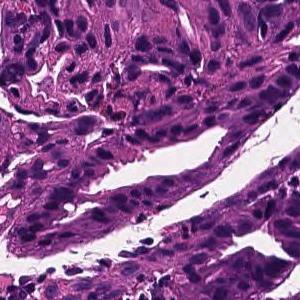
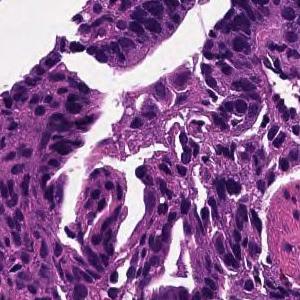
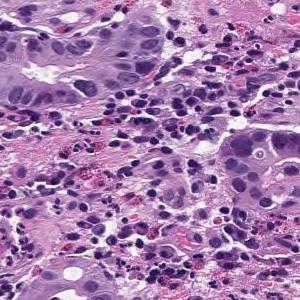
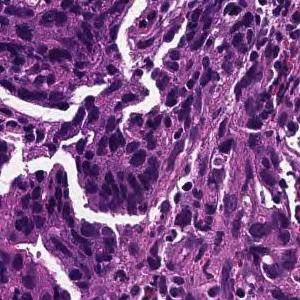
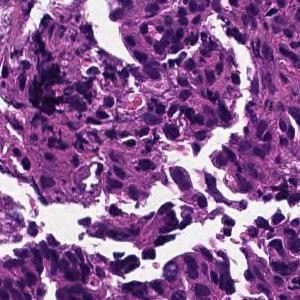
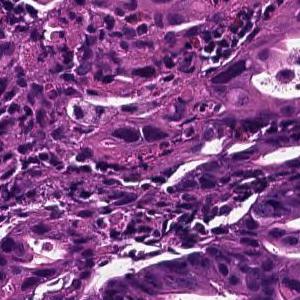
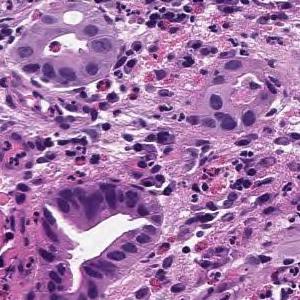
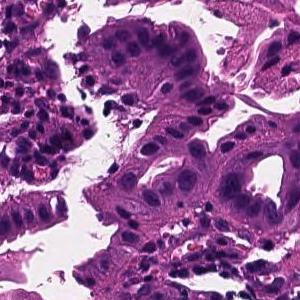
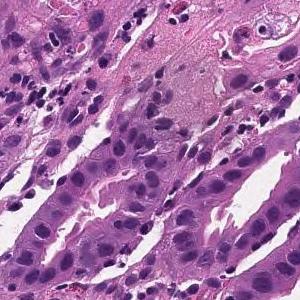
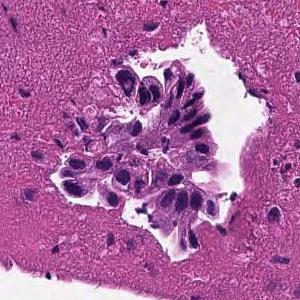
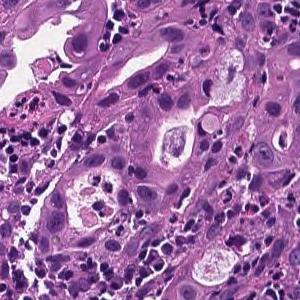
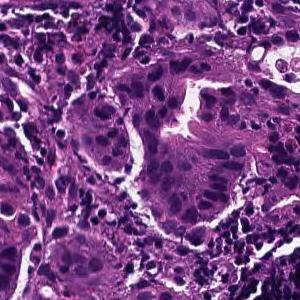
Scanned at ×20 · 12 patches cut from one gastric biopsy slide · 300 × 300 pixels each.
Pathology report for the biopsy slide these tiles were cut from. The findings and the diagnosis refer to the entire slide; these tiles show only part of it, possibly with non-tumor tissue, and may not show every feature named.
In the superficial epithelium, tumor tissue that invades by forming medium-sized to small, irregular ducts is observed. moderately differentiated tubular adenocarcinoma.
